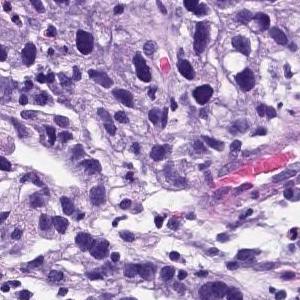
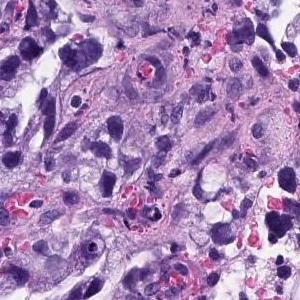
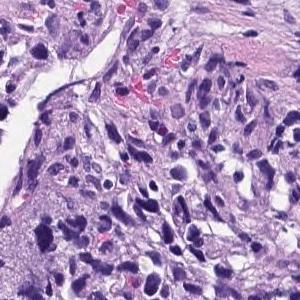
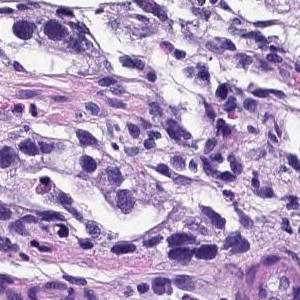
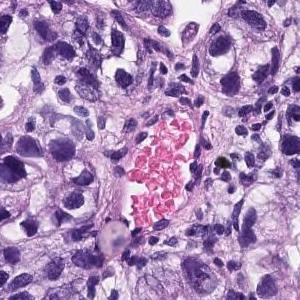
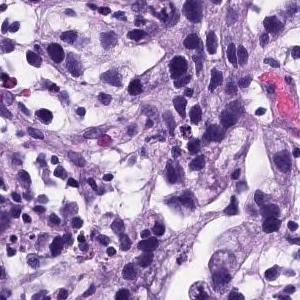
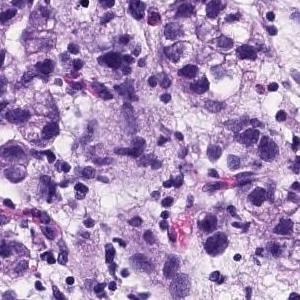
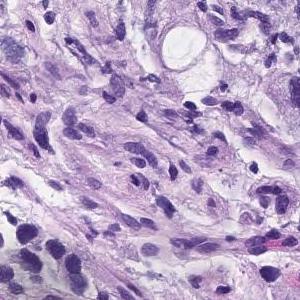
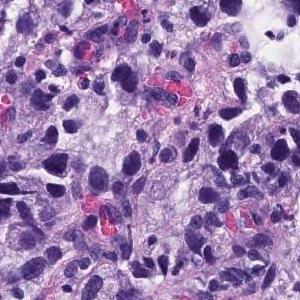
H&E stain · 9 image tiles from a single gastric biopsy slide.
Pathology report for the slide these tiles were cut from. Both the report and the diagnosis are for the whole slide: these tiles need not show every feature named, and some of the tissue shown may not be tumor.
Medium to small, irregular glandular ducts are formed in the superficial epithelium, and in some cases, the glandular ducts are fused to show solid alveolar lesions and infiltrating tumor tissue is observed. Poorly differentiated adenocarcinoma, Moderately differentiated adenocarcinoma.
Dataset label: moderately differentiated tubular adenocarcinoma.
